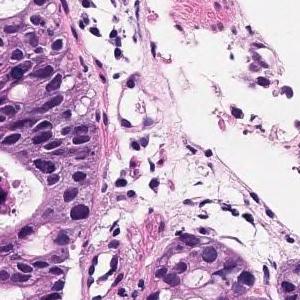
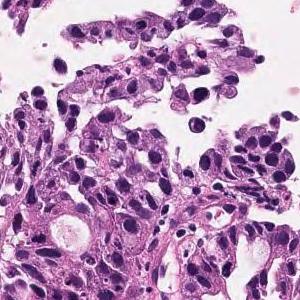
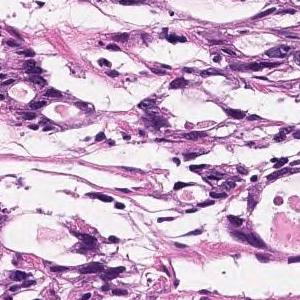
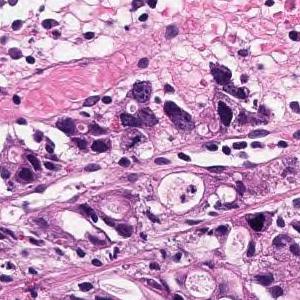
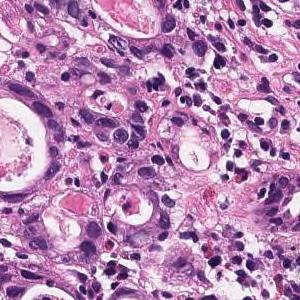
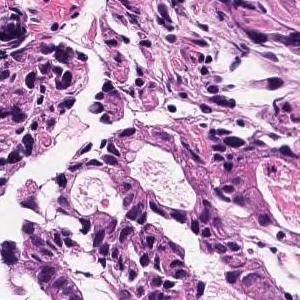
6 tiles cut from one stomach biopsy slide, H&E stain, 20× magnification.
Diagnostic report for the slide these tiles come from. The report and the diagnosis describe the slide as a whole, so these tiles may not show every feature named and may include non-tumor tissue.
In the superficial epithelium, tumor tissue that invades by forming medium-sized to small, irregular ducts is observed. Moderately differentiated adenocarcinoma.
Classified as moderately differentiated tubular adenocarcinoma.
